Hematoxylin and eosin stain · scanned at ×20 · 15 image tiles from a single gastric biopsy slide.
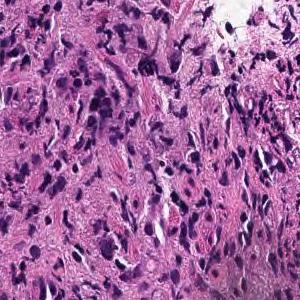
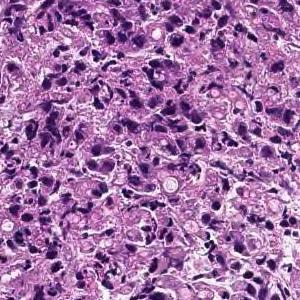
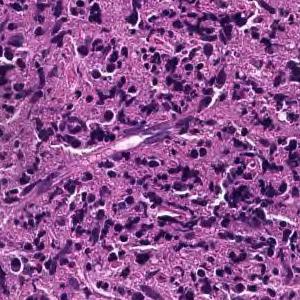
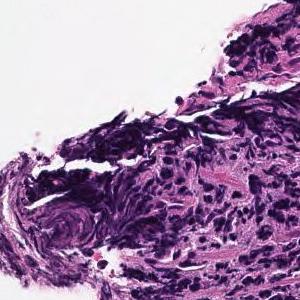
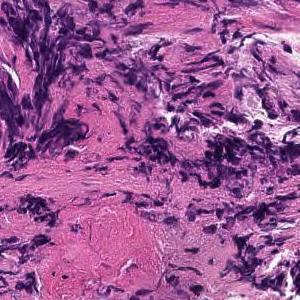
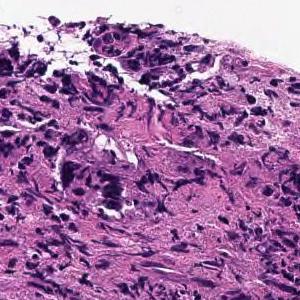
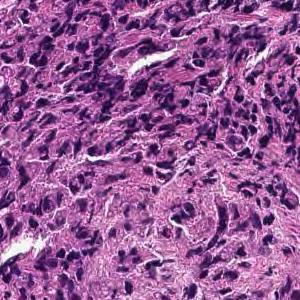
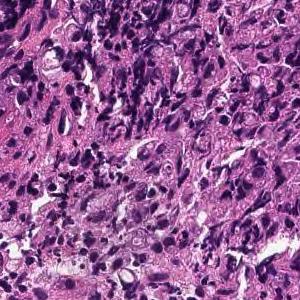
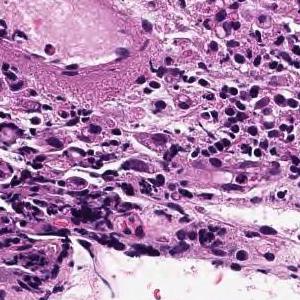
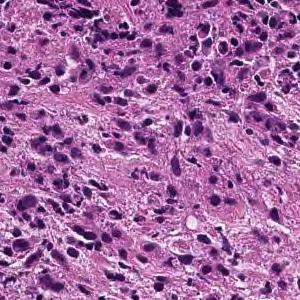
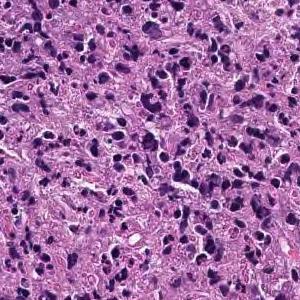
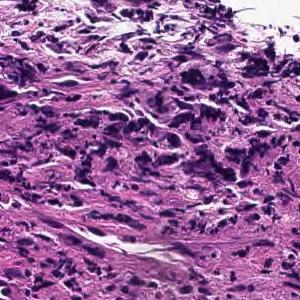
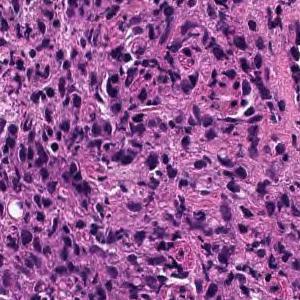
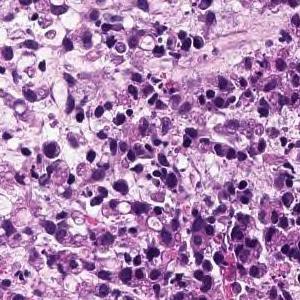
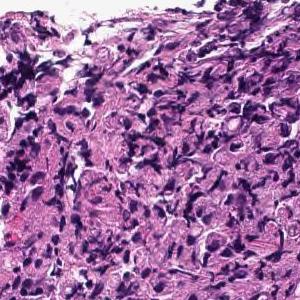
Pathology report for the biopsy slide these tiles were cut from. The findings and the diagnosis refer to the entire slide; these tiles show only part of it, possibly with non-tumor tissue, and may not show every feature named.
Large sheet-like or diffusely infiltrating tumor tissue is found in the superficial epithelium. Poorly differentiated adenocarcinoma, solid-type
Classified as poorly differentiated adenocarcinoma, solid type (Japanese Classification of Gastric Carcinoma). The WHO 2019 equivalent is tubular adenocarcinoma, poorly differentiated.
